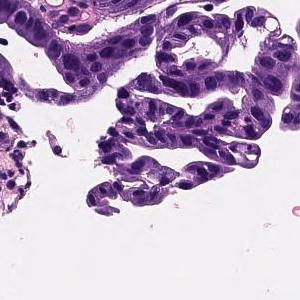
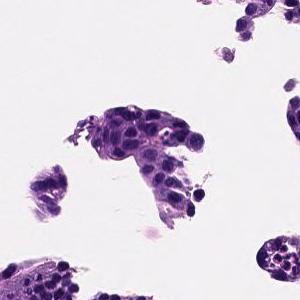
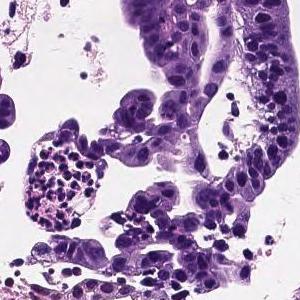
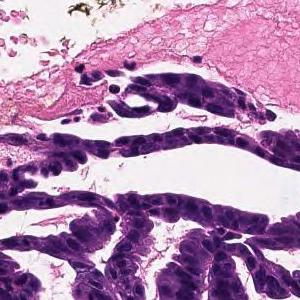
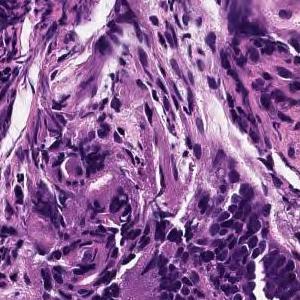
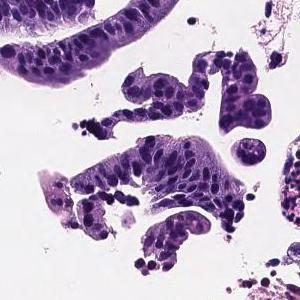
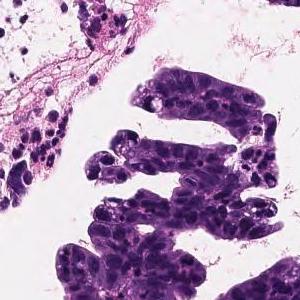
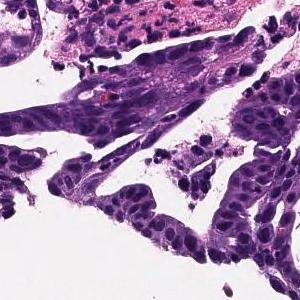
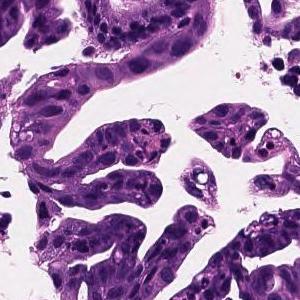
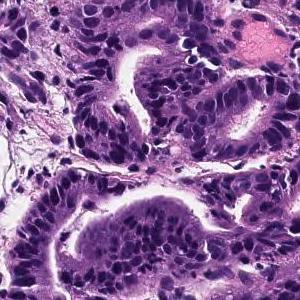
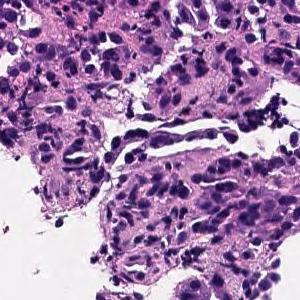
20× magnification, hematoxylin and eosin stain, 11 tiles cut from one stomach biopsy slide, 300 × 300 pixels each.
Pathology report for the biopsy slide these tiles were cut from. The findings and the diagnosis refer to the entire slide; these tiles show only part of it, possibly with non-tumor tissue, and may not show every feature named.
Tumor cells are large, highly columnar, large club-shaped nuclei, and are associated with chromatin aggregation. Papillary adenocarcinoma.
